12 tiles from the same stomach biopsy slide, 300 × 300 pixels each, scanned at ×20, hematoxylin and eosin stain.
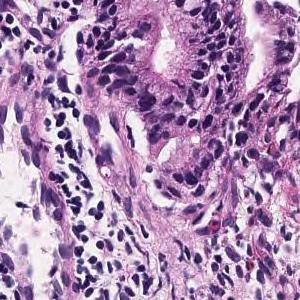
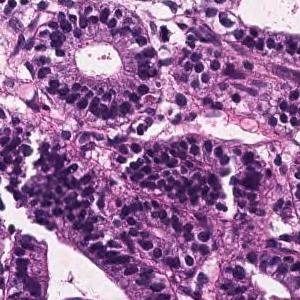
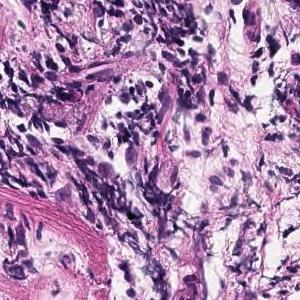
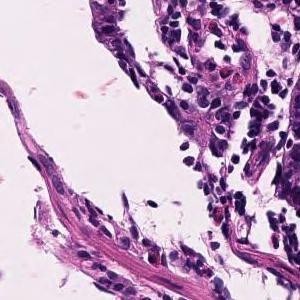
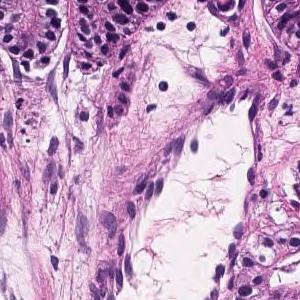
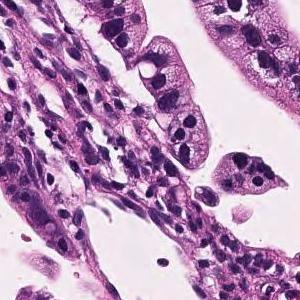
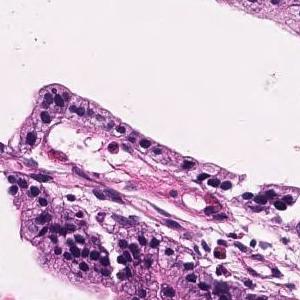
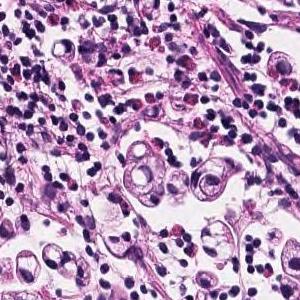
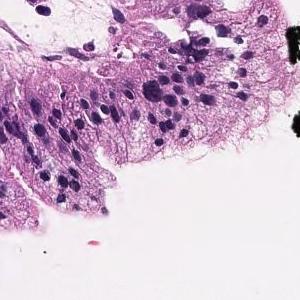
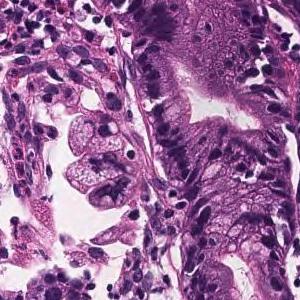
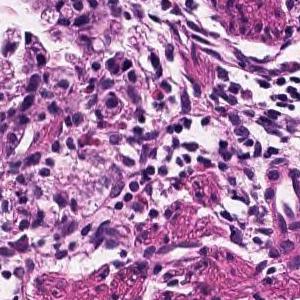
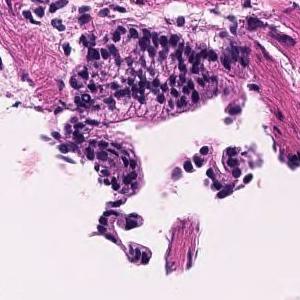
The pathologist's report on the biopsy slide these tiles were taken from. The report describes the whole slide, diagnosis included: not every finding it names need appear in these tiles, which may also show non-tumor tissue.
Tumor tissue consisting of large papillary structures or irregular glandular ducts partially fused and infiltrated is observed in the superficial epithelium. Well to moderately differentiated tubular adenocarcinoma.
Dataset label: moderately differentiated tubular adenocarcinoma.
